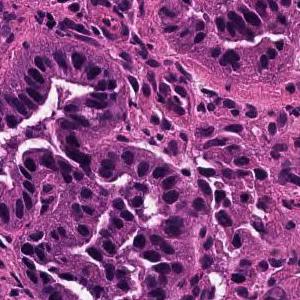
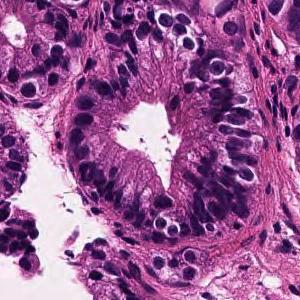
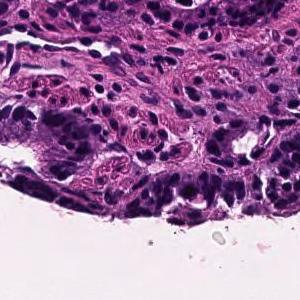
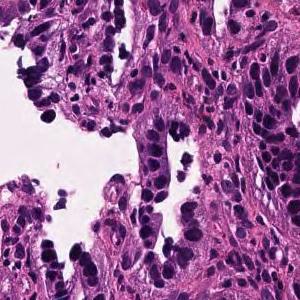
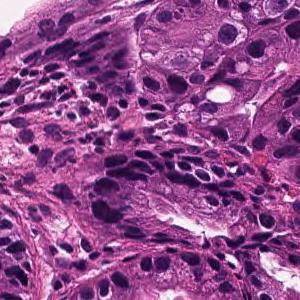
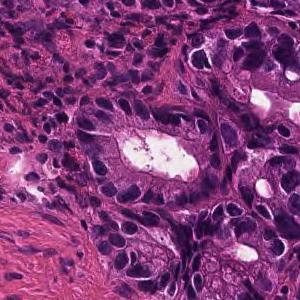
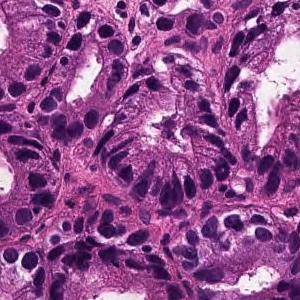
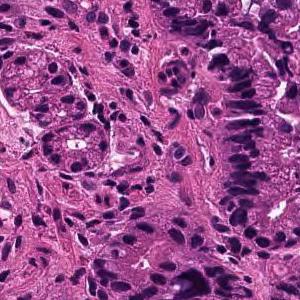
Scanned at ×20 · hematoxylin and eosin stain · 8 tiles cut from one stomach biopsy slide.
The pathologist's report on the biopsy slide these tiles were taken from. Both the report and the diagnosis are for the whole slide: these tiles need not show every feature named, and some of the tissue shown may not be tumor.
In the superficial epithelium, tumor tissue that invades by forming medium-sized to small, irregular ducts is observed. Well differentiated tubular adenocarcinoma.
